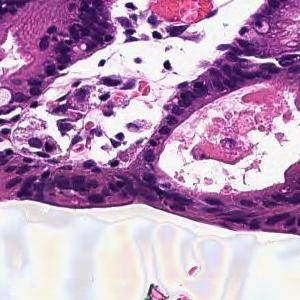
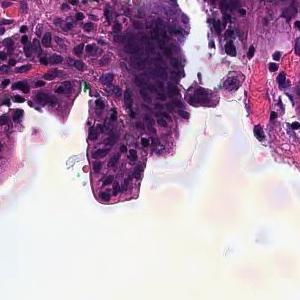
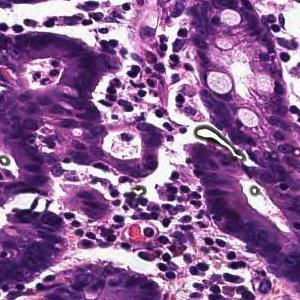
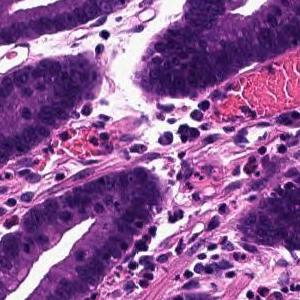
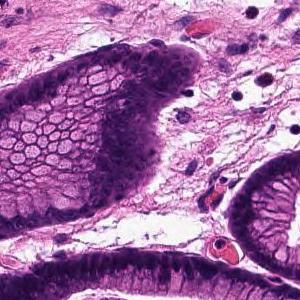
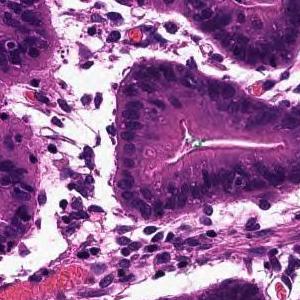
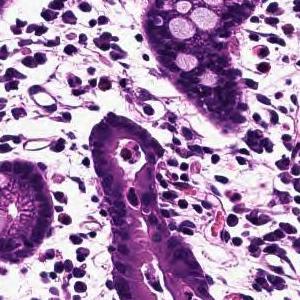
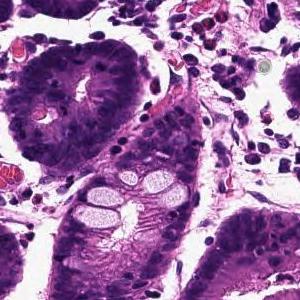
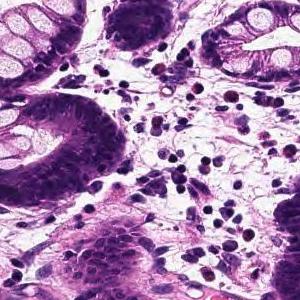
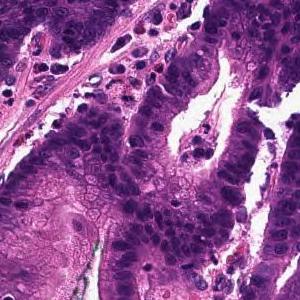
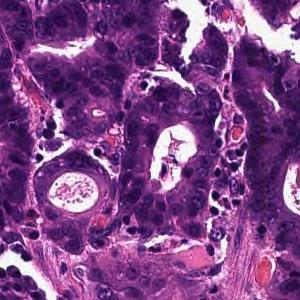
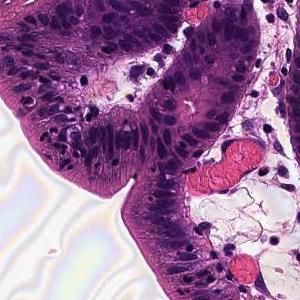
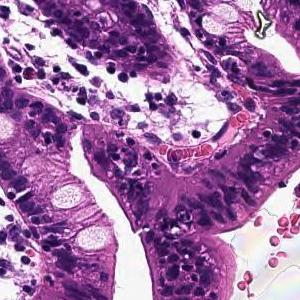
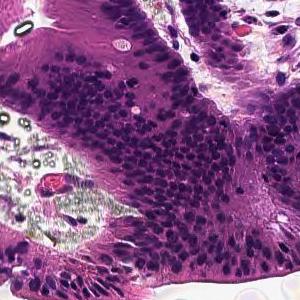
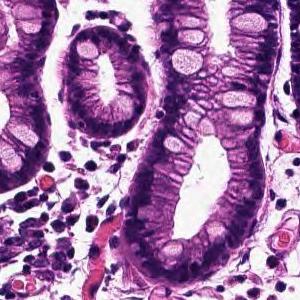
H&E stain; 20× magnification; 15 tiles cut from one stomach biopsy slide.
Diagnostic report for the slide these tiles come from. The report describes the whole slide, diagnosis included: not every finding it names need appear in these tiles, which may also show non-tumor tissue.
Tumor tissue that infiltrates by forming large papillary or large irregular glandular ducts is observed confined to the mucosa. Papillary adenocarcinoma
